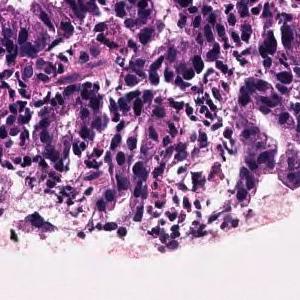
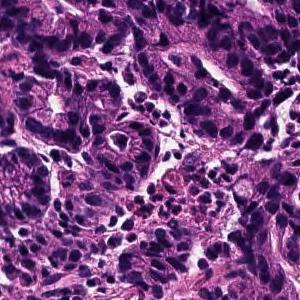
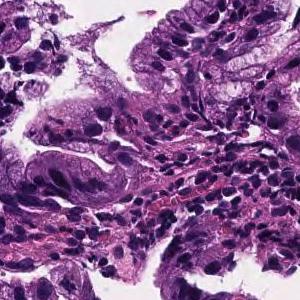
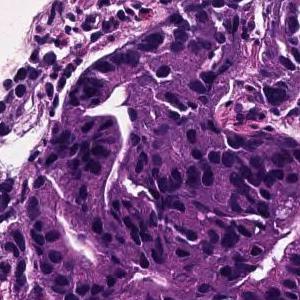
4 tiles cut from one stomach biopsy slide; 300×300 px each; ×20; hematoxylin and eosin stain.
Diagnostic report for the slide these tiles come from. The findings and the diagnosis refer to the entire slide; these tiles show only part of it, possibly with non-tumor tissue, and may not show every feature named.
From the superficial epithelium to the muscularis mucosae, tumor tissue consisting of medium-sized and irregular glandular ducts infiltrating is observed. Well differentiated tubular adenocarcinoma
